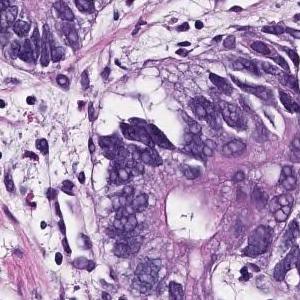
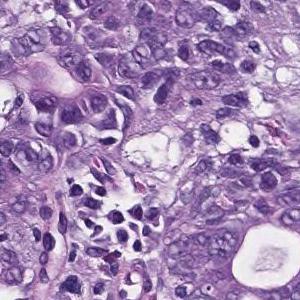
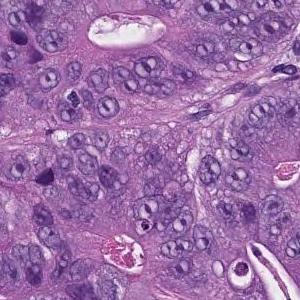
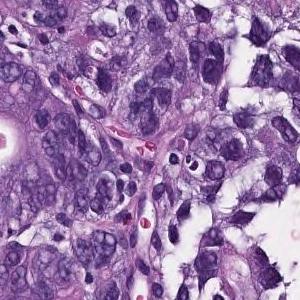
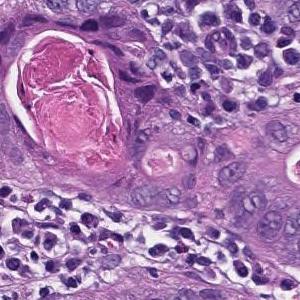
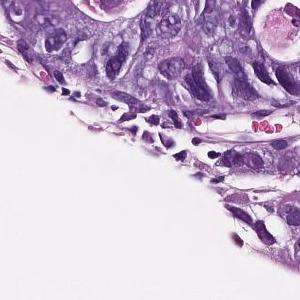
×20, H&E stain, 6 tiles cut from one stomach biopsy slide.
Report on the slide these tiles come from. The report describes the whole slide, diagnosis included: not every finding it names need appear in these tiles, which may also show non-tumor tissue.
In the superficial epithelium, tumor tissue that invades by forming medium-sized to small, irregular ducts is observed. moderately differentiated tubular adenocarcinoma.
